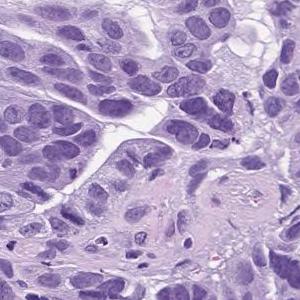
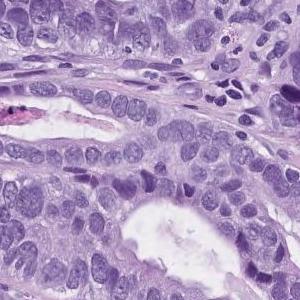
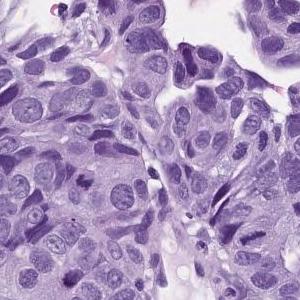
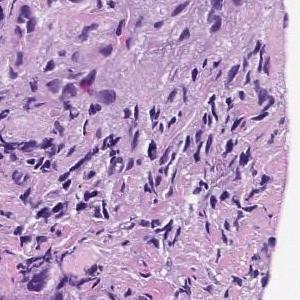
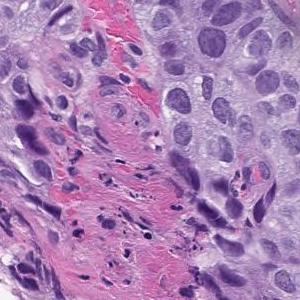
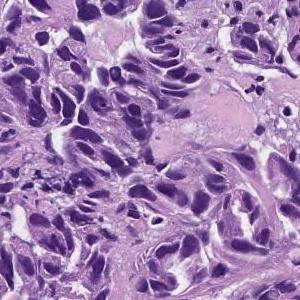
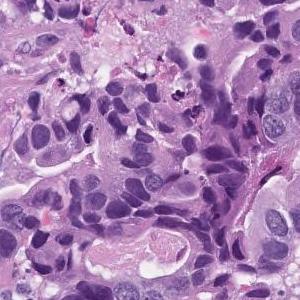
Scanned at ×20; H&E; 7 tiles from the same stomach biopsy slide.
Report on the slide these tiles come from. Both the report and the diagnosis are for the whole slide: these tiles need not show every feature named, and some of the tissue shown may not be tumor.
In the superficial epithelium, tumor tissue that invades by forming medium-sized to small, irregular ducts is observed. moderately differentiated tubular adenocarcinoma.
